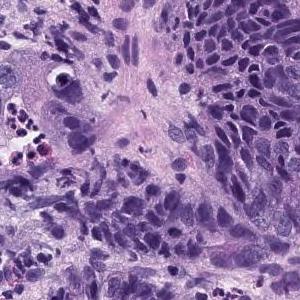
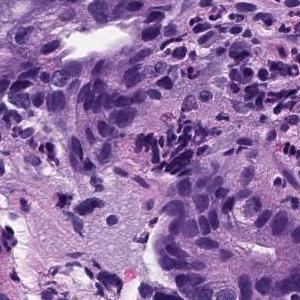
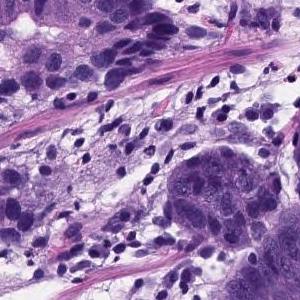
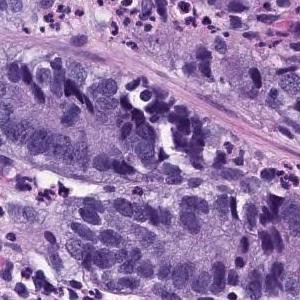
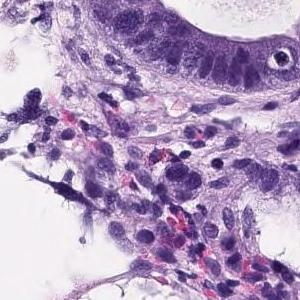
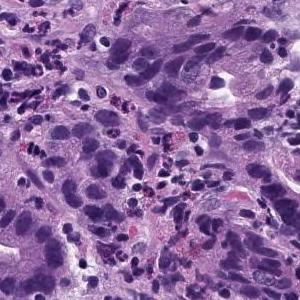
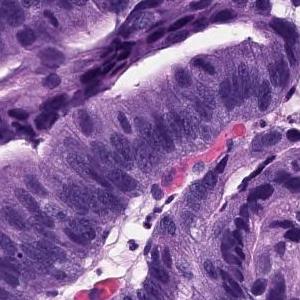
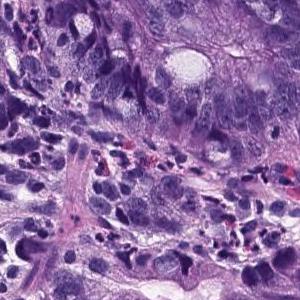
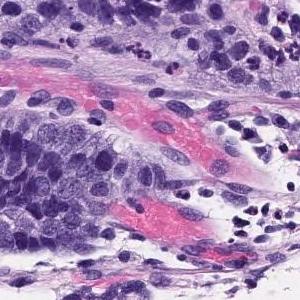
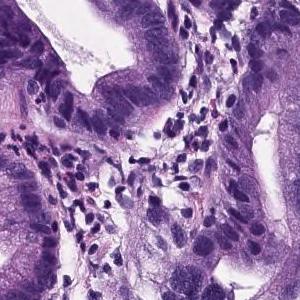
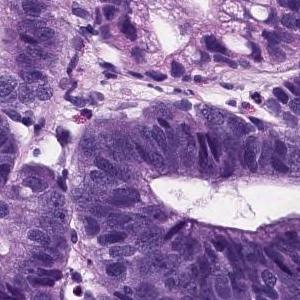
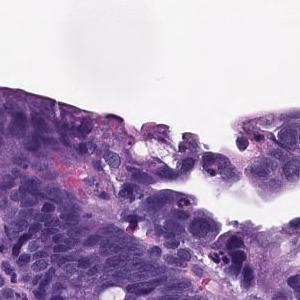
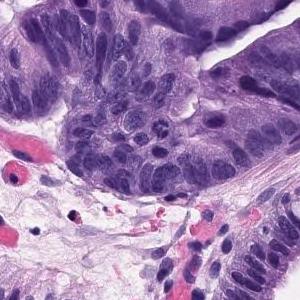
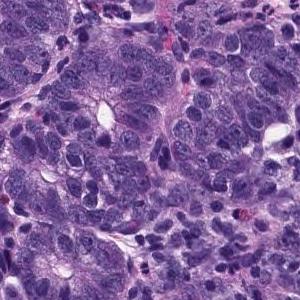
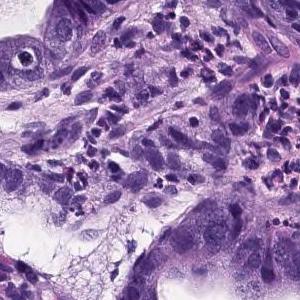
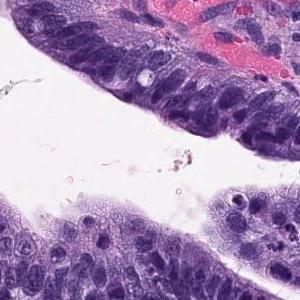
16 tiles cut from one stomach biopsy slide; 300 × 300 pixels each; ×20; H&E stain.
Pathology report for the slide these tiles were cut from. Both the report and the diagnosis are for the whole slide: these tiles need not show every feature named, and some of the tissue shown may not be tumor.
Tumor tissue consisting of large papillary structures is found in the superficial epithelium. Papillary adenocarcinoma.
